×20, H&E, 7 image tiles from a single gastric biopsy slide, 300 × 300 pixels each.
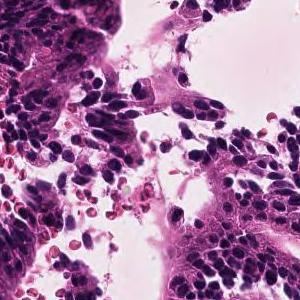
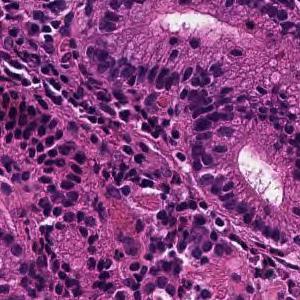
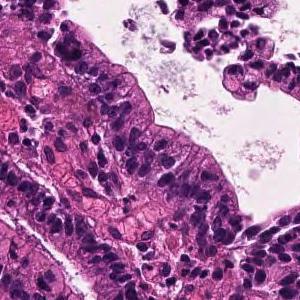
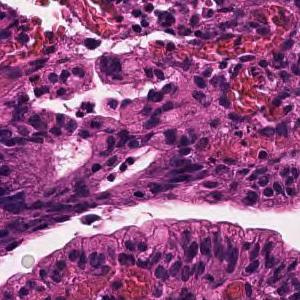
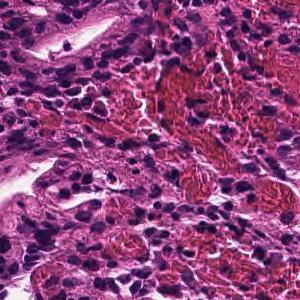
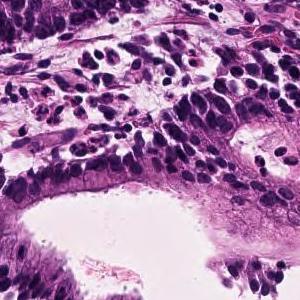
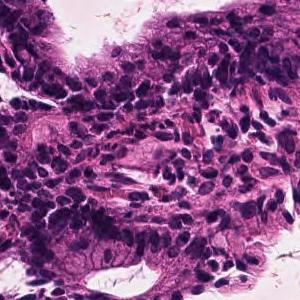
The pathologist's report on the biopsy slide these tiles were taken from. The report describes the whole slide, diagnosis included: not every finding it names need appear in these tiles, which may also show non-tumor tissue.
In the superficial epithelium, tumor tissue that invades by forming medium-sized to small, irregular ducts is observed. moderately differentiated tubular adenocarcinoma.
